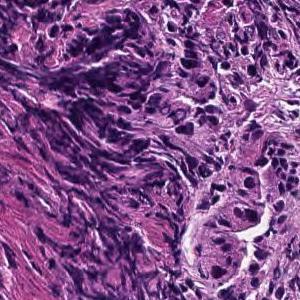
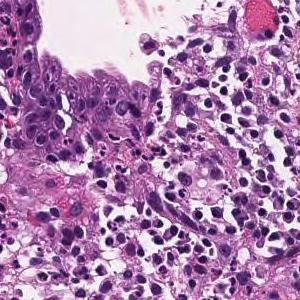
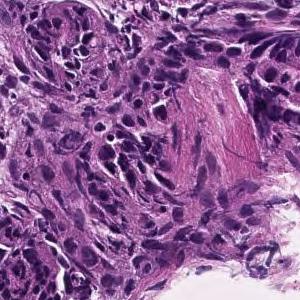
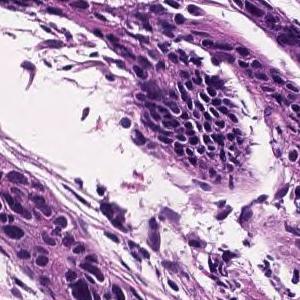
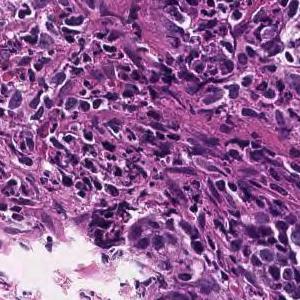
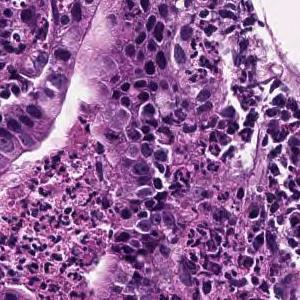
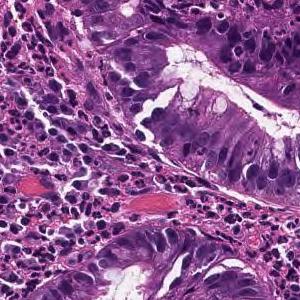
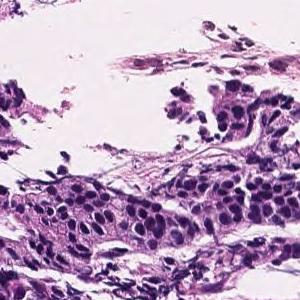
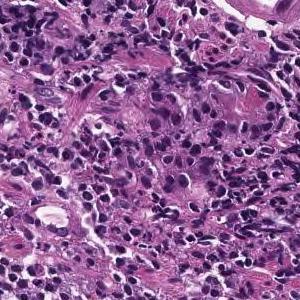
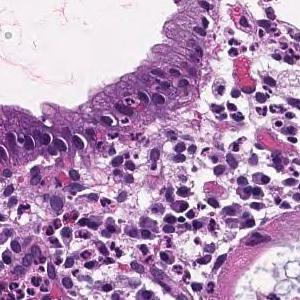
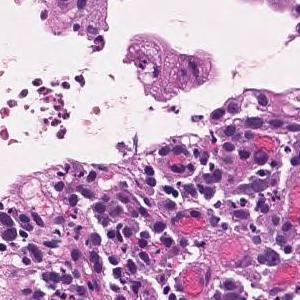
20× magnification · H&E · 11 tiles cut from one stomach biopsy slide · 300 × 300 pixels each.
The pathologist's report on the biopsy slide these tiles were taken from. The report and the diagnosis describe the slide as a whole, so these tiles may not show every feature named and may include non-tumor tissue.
On the superficial epithelium, tumor tissue consisting of large, irregular glandular ducts partially fused and infiltrated is observed. Well to moderately differentiated tubular adenocarcinoma (well differentiated tubular adenocarcinoma, moderately differentiated tubular adenocarcinoma)
Tumor subtype: well to moderately differentiated tubular adenocarcinoma.
